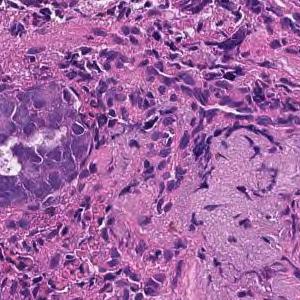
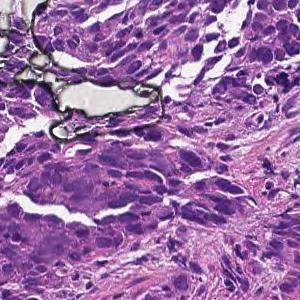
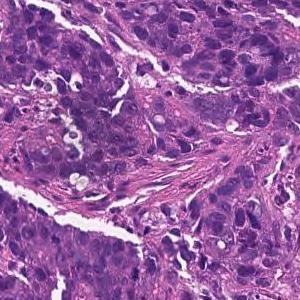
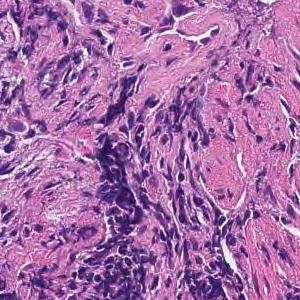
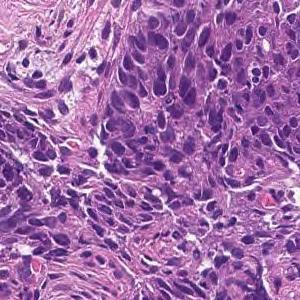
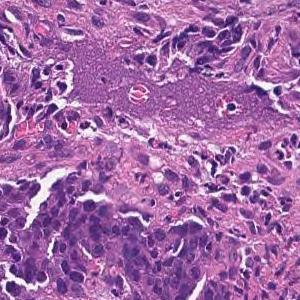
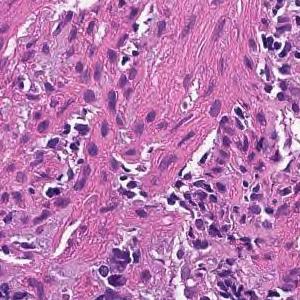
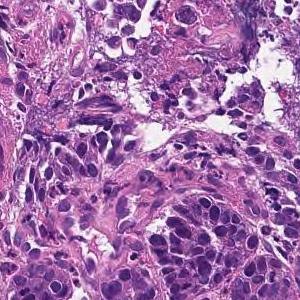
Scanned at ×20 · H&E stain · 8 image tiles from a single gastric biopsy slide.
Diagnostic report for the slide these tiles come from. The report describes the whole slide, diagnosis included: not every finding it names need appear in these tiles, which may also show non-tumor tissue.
Tumor tissue consisting of cord-like or small, irregular glandular ducts fused and infiltrated is observed in the superficial epithelium. Poorly differentiated adenocarcinoma, non-solid type
The non-solid type named here is a Japanese Classification of Gastric Carcinoma category.
